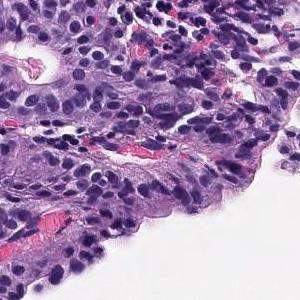
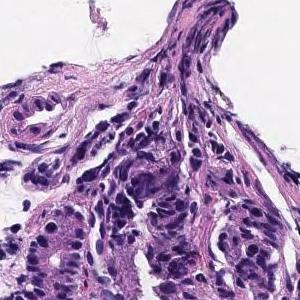
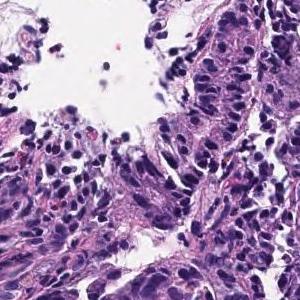
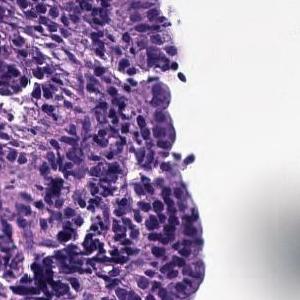
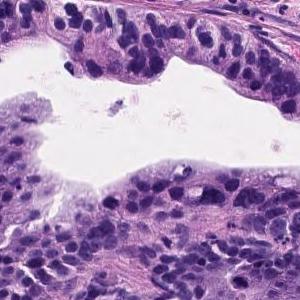
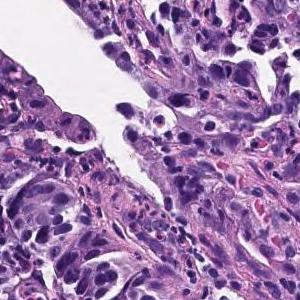
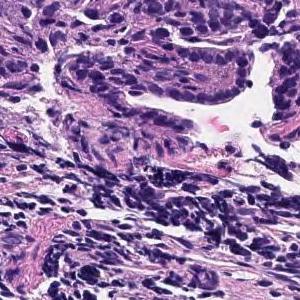
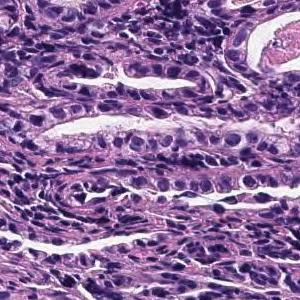
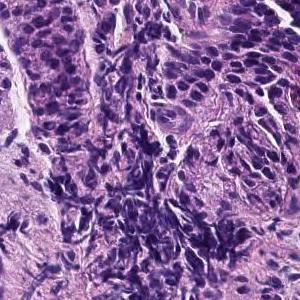
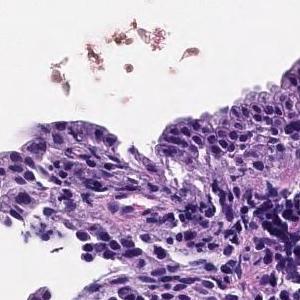
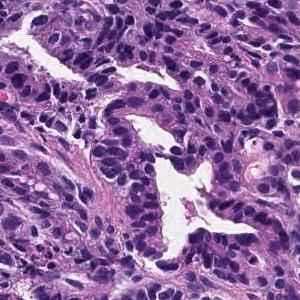
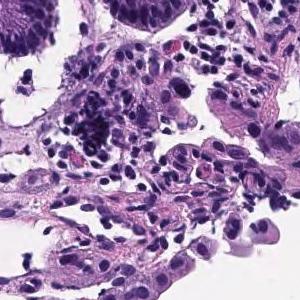
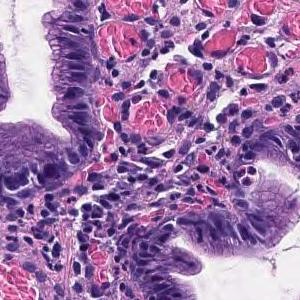
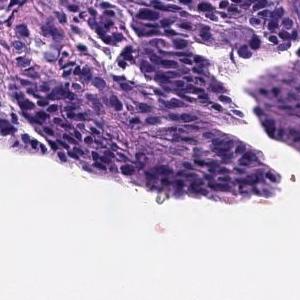
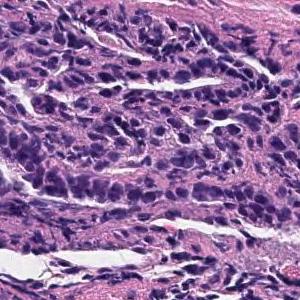
15 image tiles from a single gastric biopsy slide, each 300 × 300 pixels, hematoxylin and eosin stain, ×20.
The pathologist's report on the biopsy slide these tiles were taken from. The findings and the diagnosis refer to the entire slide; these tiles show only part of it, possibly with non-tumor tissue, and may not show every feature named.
The superficial tumors shows large papillary structures or large and small ducts and infiltrates. Papillary adenocarcinoma.
